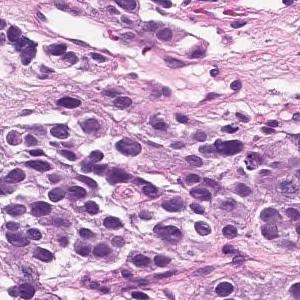
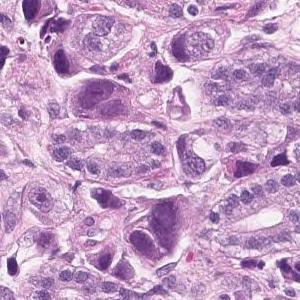
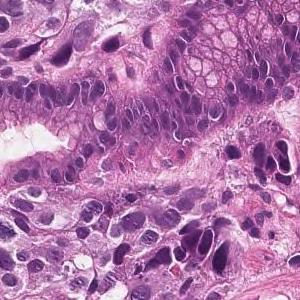
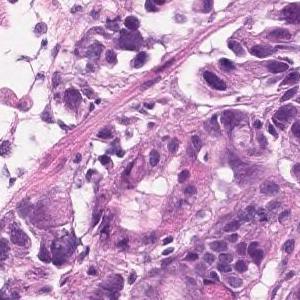
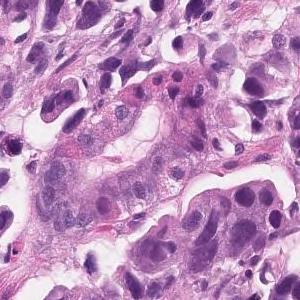
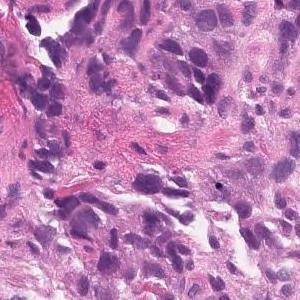
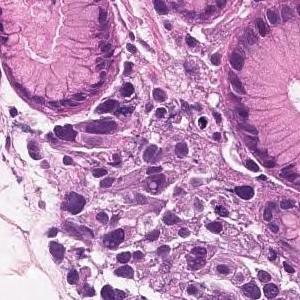
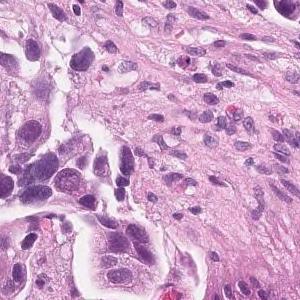
8 patches cut from one gastric biopsy slide · H&E.
Pathology report for the biopsy slide these tiles were cut from. What the report and the diagnosis say applies to the whole slide; these tiles may miss some of the features named and may include tissue that is not tumor.
Tumor tissue that infiltrates the epithelium in an alveolar manner. Poorly differentiated adenocarcinoma, solid-type
Classified as poorly differentiated adenocarcinoma, solid type. This name comes from the Japanese Classification of Gastric Carcinoma; the WHO 2019 classification calls it tubular adenocarcinoma, poorly differentiated.
